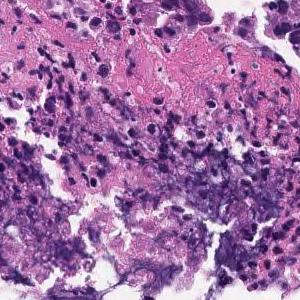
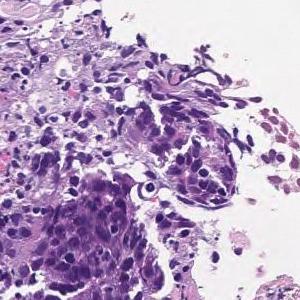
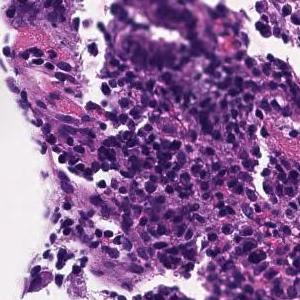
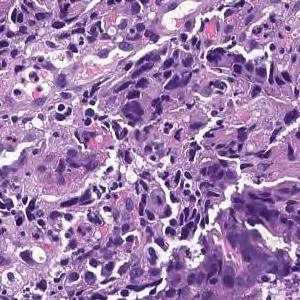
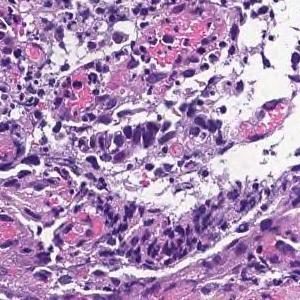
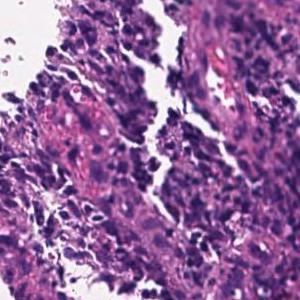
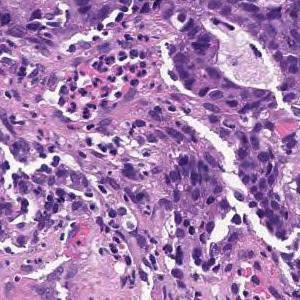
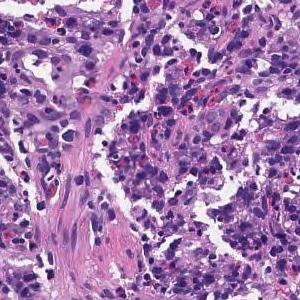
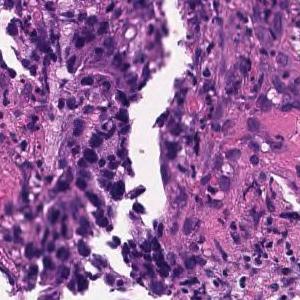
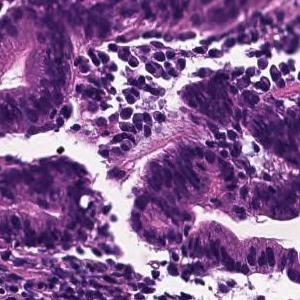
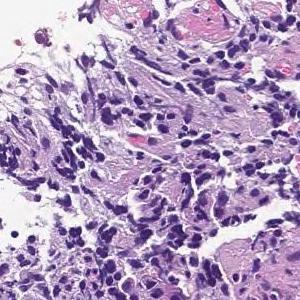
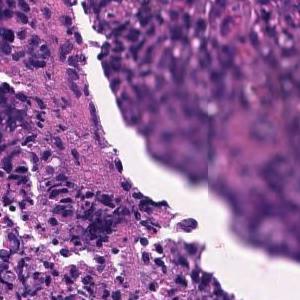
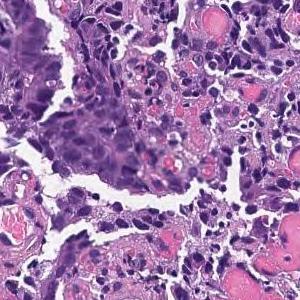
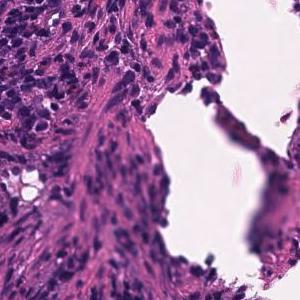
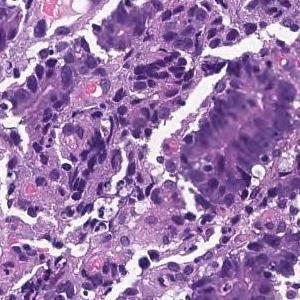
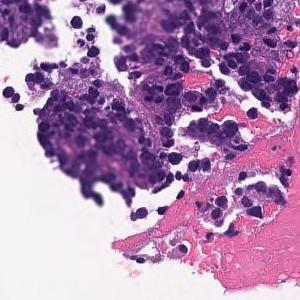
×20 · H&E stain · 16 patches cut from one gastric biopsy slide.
Diagnostic report for the slide these tiles come from. The report describes the whole slide, diagnosis included: not every finding it names need appear in these tiles, which may also show non-tumor tissue.
On the superficial epithelium, tumor tissue consisting of large irregular glandular ducts partially fused and infiltrated is observed. Well to moderately differentiated tubular adenocarcinoma (well differentiated tubular adenocarcinoma, moderately differentiated tubular adenocarcinoma)
Classified as well to moderately differentiated tubular adenocarcinoma.
